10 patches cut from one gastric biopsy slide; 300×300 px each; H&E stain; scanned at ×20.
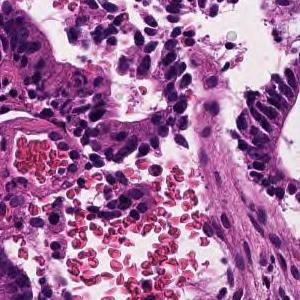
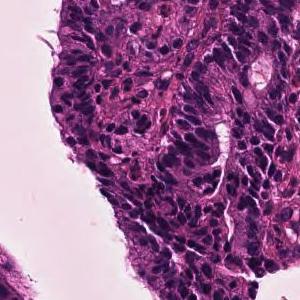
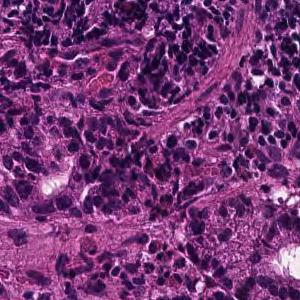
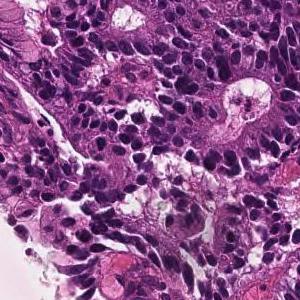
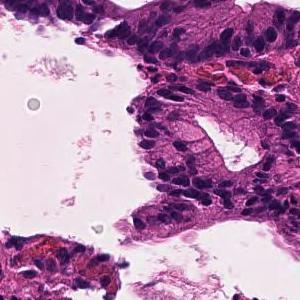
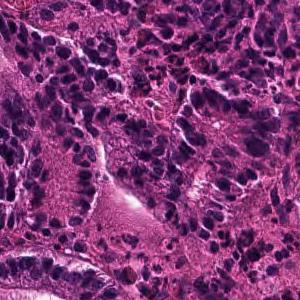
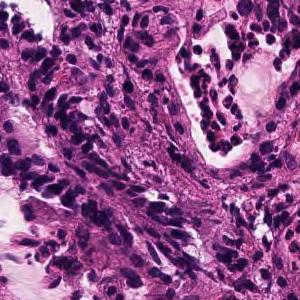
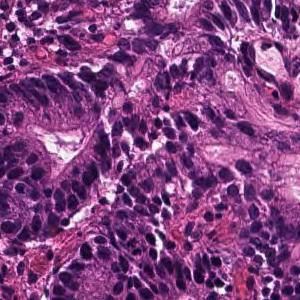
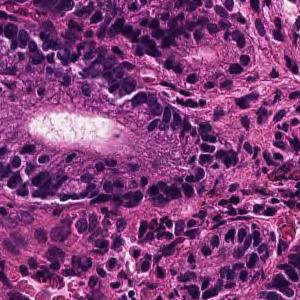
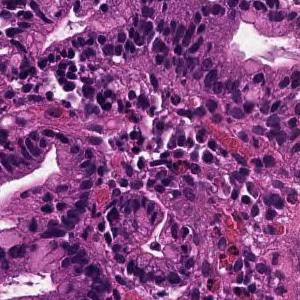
Diagnostic report for the slide these tiles come from. The findings and the diagnosis refer to the entire slide; these tiles show only part of it, possibly with non-tumor tissue, and may not show every feature named.
In the superficial epithelium, tumor tissue that invades by forming medium-sized to small, irregular ducts is observed. moderately differentiated tubular adenocarcinoma.
